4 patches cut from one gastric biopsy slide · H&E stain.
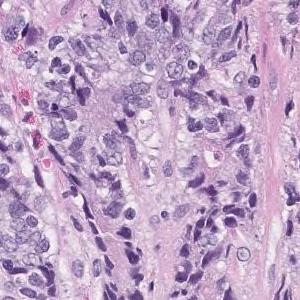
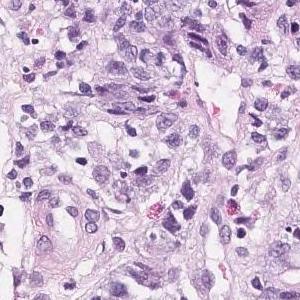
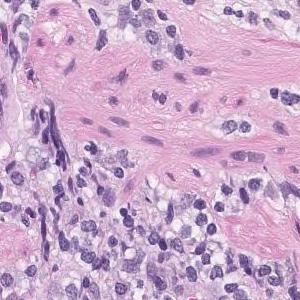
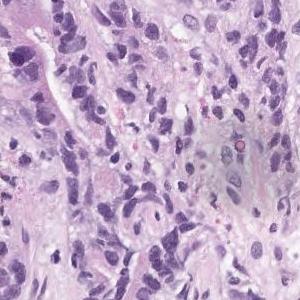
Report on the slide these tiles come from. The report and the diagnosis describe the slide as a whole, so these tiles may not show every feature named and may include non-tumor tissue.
Highly columnar epithelium with disordered nuclear localization proliferates showing fusion ductal construction. moderately differentiated tubular adenocarcinoma
